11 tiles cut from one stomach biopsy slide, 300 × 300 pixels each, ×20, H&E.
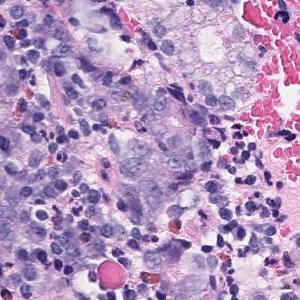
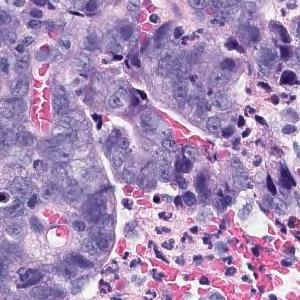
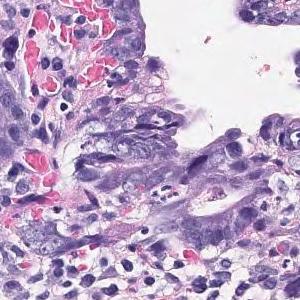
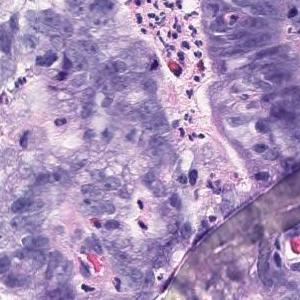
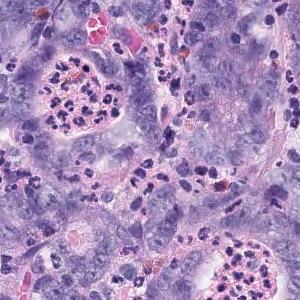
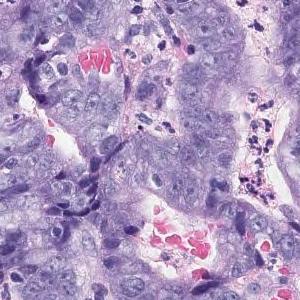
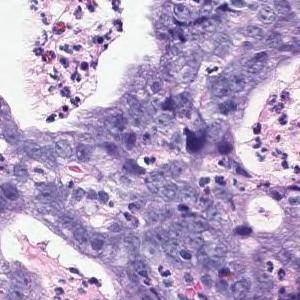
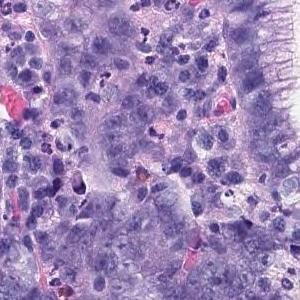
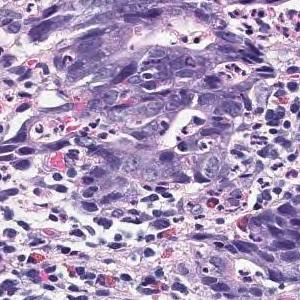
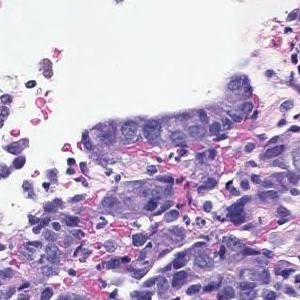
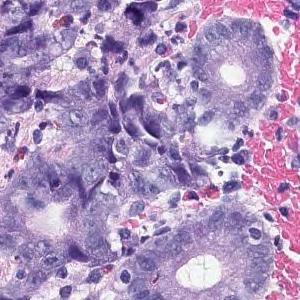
The pathologist's report on the biopsy slide these tiles were taken from. The report and the diagnosis cover the entire slide, so not every feature they name need be visible here, and some tissue shown may not be tumor.
In the superficial epithelium, tumor tissue that invades by forming medium-sized to small, irregular ducts is observed. Moderately differentiated adenocarcinoma.
Subtype: Moderately differentiated tubular adenocarcinoma.
